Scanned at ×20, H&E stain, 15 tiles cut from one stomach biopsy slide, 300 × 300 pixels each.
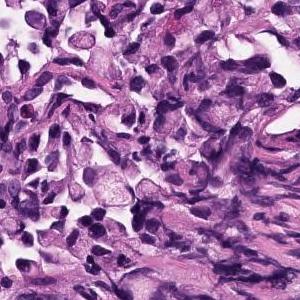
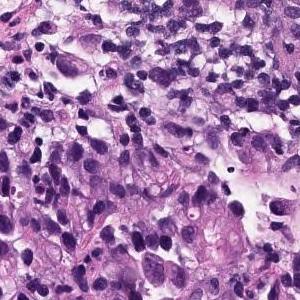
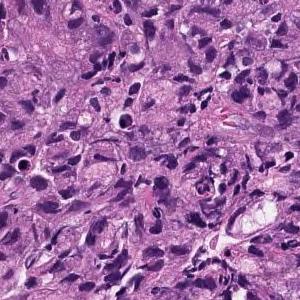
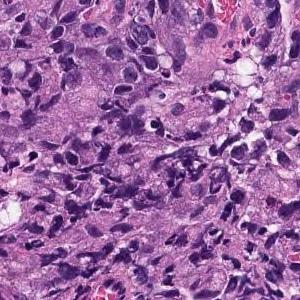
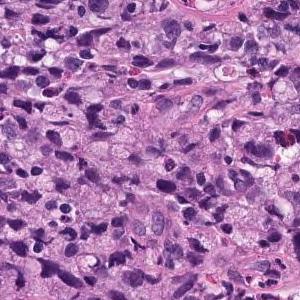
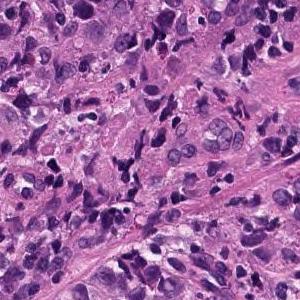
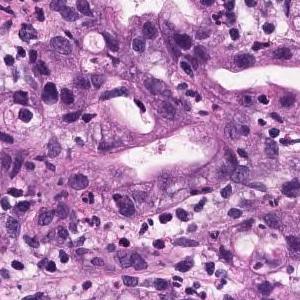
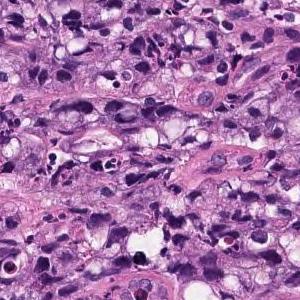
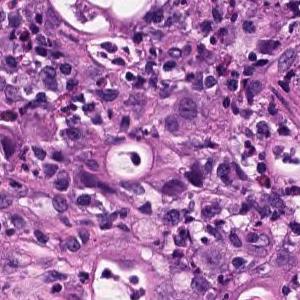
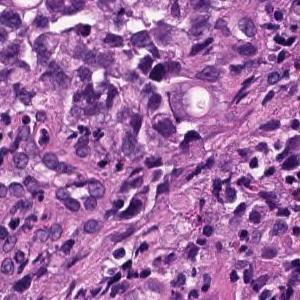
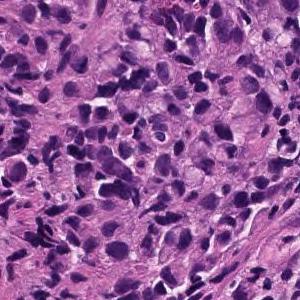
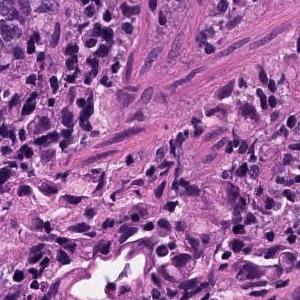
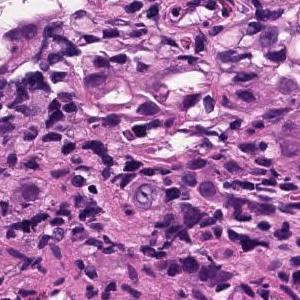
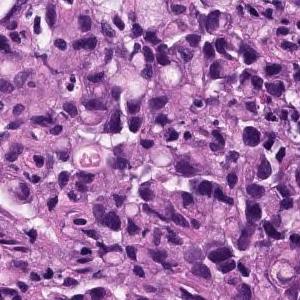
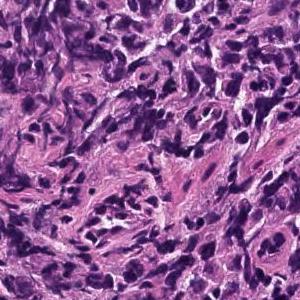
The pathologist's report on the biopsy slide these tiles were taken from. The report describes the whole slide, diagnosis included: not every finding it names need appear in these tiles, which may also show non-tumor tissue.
Atypical epithelium forms irregularly fused gland ducts and proliferates. Poorly differentiated adenocarcinoma.
Tumor subtype: poorly differentiated adenocarcinoma, non-solid type.
The term "non-solid type" comes from the Japanese Classification of Gastric Carcinoma.
